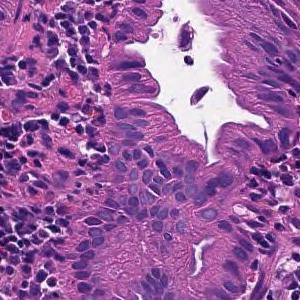
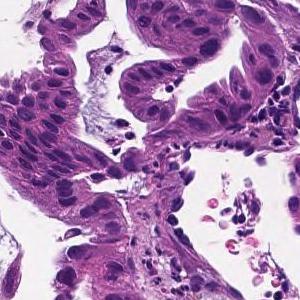
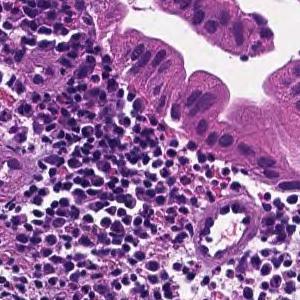
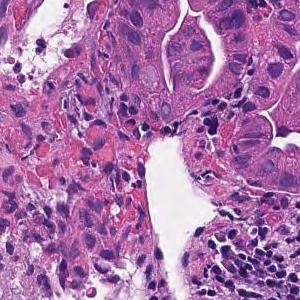
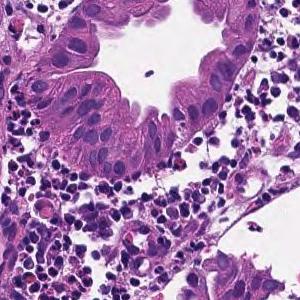
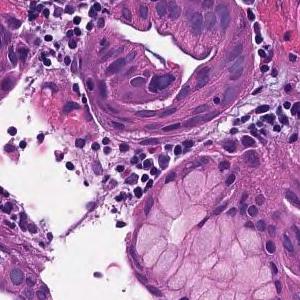
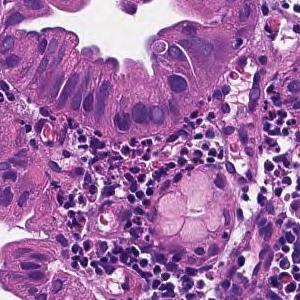
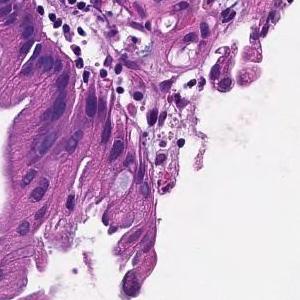
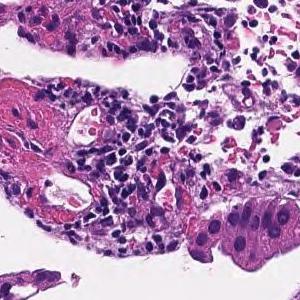
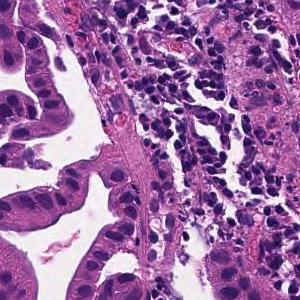
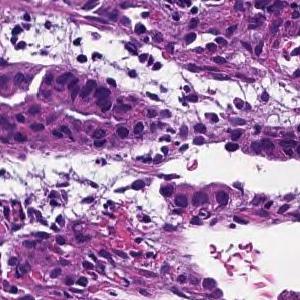
11 image tiles from a single gastric biopsy slide · 300 × 300 pixels each · 20× magnification · H&E.
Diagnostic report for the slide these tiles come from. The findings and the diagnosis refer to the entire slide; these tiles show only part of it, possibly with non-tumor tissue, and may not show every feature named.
On the superficial epithelium, tumor tissue that infiltrates by forming medium-sized papillary or small irregular ducts is observed. Papillary adenocarcinoma
